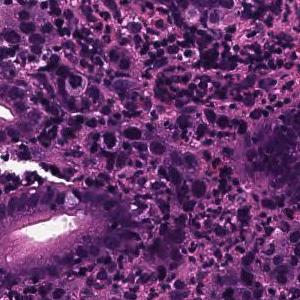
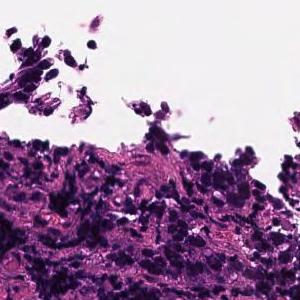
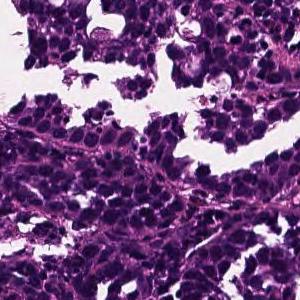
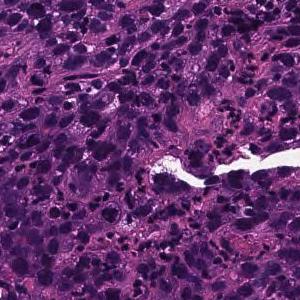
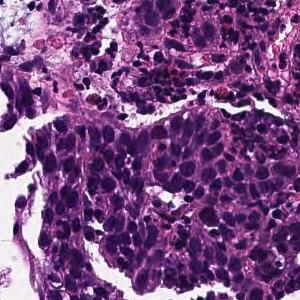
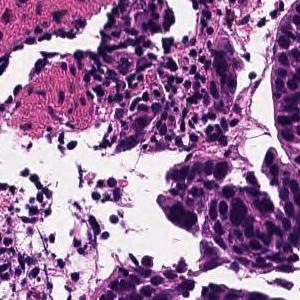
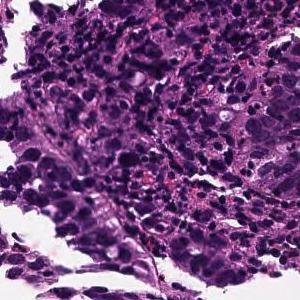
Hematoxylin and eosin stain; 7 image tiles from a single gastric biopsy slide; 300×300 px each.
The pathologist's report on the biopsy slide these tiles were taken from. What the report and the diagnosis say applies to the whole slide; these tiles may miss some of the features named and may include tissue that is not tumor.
Tumor tissue consisting of cord-like or small, irregular glandular ducts fused and infiltrated is observed in the superficial epithelium. Poorly differentiated adenocarcinoma, non-solid type
"Non-solid type" is a category of the Japanese Classification of Gastric Carcinoma.
